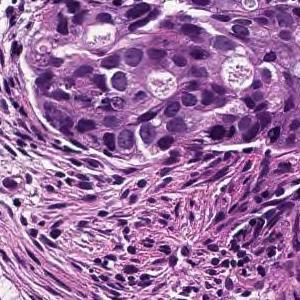
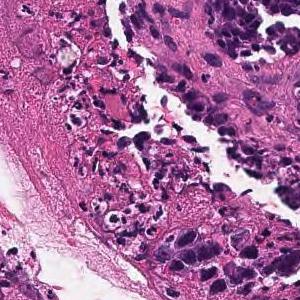
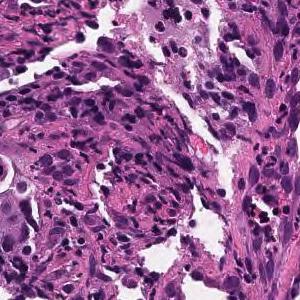
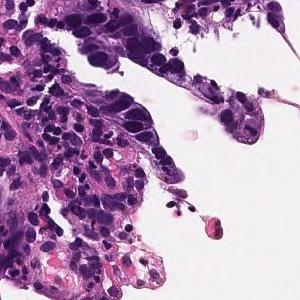
H&E · 20× magnification · 4 tiles cut from one stomach biopsy slide · 300×300 px each.
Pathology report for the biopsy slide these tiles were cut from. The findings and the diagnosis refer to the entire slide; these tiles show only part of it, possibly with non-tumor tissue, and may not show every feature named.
On the superficial epithelium, tumor tissue consisting of large irregular glandular ducts partially fused and infiltrated is observed. Well to moderately differentiated tubular adenocarcinoma (well differentiated tubular adenocarcinoma, moderately differentiated tubular adenocarcinoma)
Tumor subtype: well to moderately differentiated tubular adenocarcinoma.
